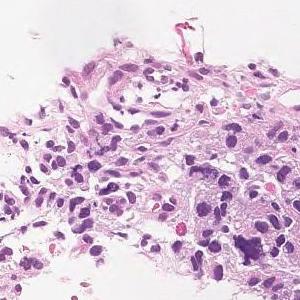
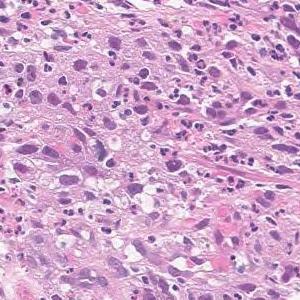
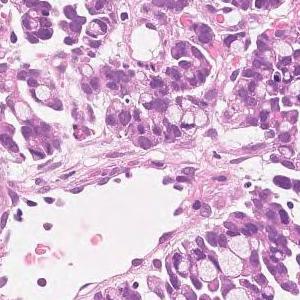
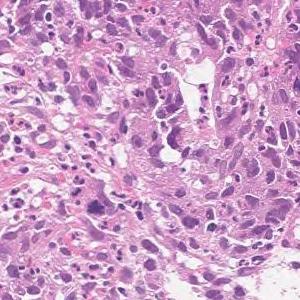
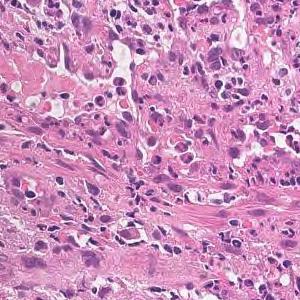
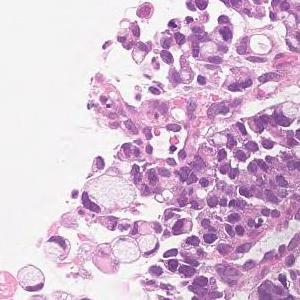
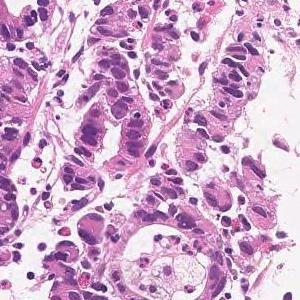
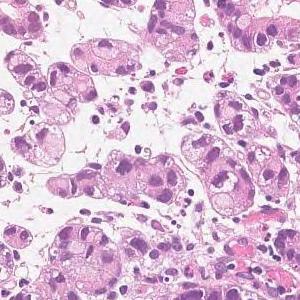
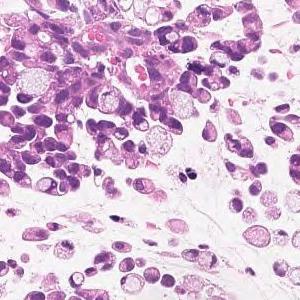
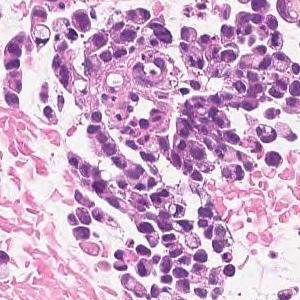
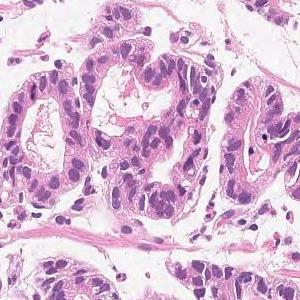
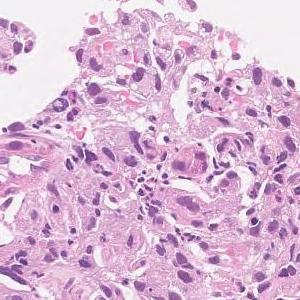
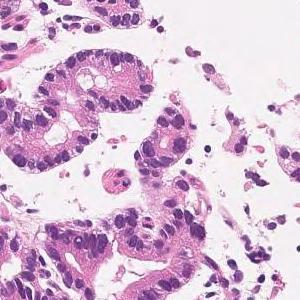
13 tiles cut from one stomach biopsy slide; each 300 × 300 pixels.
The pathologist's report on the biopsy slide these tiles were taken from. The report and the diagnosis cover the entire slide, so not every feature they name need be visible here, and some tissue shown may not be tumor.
Medium to small, irregular glandular ducts are formed in the superficial epithelium, and in some cases, the glandular ducts are fused to show solid alveolar lesions and infiltrating tumor tissue is observed. Moderately to poorly differentiated adenocarcinoma.
